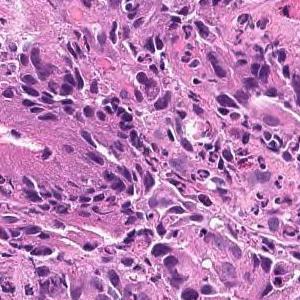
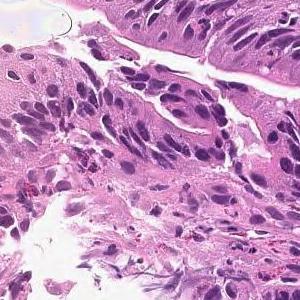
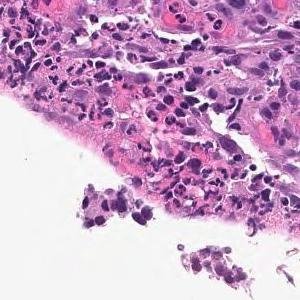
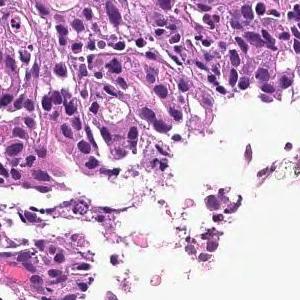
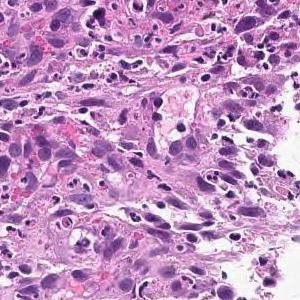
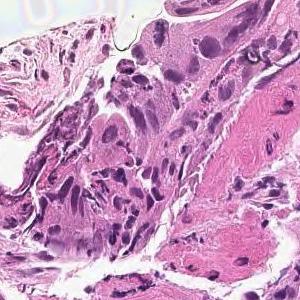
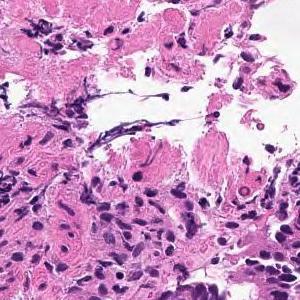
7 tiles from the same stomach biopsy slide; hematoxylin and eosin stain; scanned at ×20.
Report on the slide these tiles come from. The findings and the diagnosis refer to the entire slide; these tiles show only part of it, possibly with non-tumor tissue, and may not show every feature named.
On the superficial epithelium, tumor tissue consisting of large irregular glandular ducts partially fused and infiltrated is observed. Well to moderately differentiated tubular adenocarcinoma (well differentiated tubular adenocarcinoma, moderately differentiated tubular adenocarcinoma)
Tumor subtype: well to moderately differentiated tubular adenocarcinoma.
